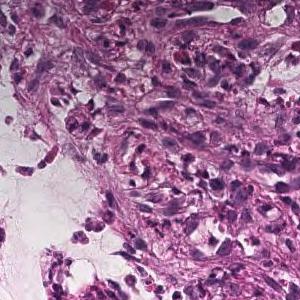
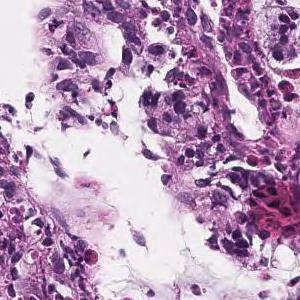
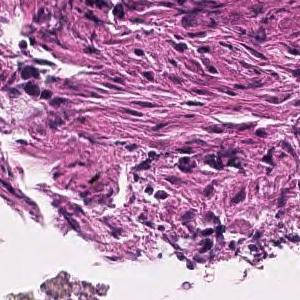
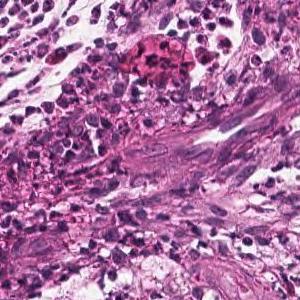
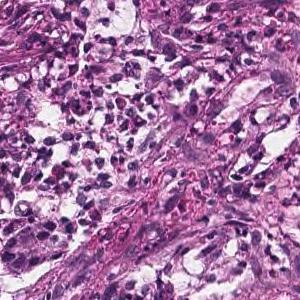
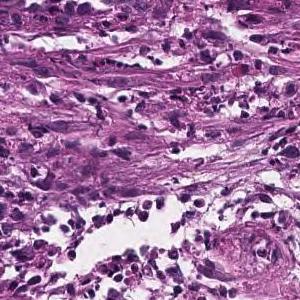
6 tiles cut from one stomach biopsy slide · each 300 × 300 pixels · H&E stain.
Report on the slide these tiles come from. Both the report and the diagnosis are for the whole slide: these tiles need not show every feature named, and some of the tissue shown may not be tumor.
Atypical epithelial cells form obscure ductal structures or small solid follicles, and tumor tissue that proliferates invasively with proliferation of inflammatory granulation tissue is observed. Mucinous adenocarcinoma .
